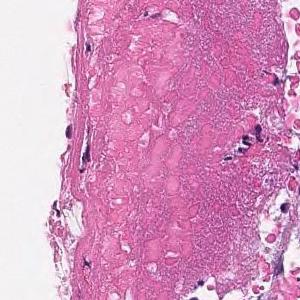
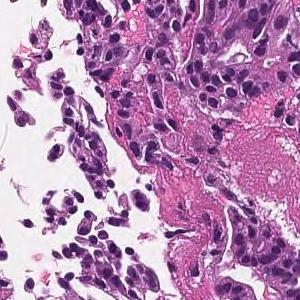
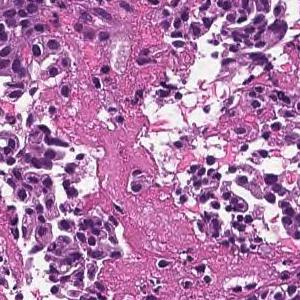
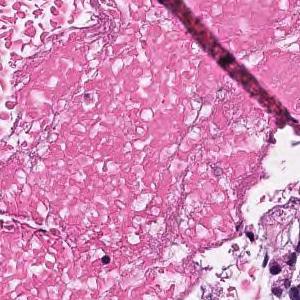
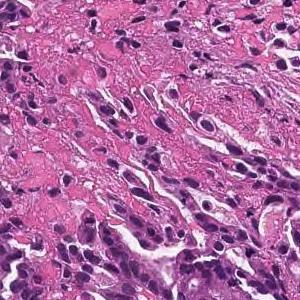
5 tiles cut from one stomach biopsy slide · 300 × 300 pixels each · H&E.
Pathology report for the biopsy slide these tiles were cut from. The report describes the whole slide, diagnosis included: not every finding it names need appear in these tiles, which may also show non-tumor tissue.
On the superficial epithelium, tumor tissue that infiltrates by forming medium-sized papillary or small irregular ducts is observed. Papillary adenocarcinoma
